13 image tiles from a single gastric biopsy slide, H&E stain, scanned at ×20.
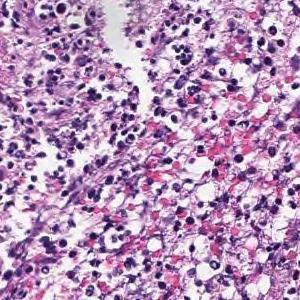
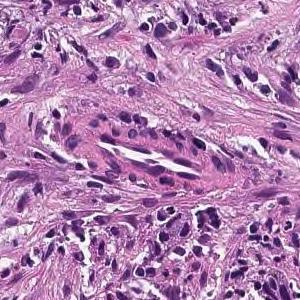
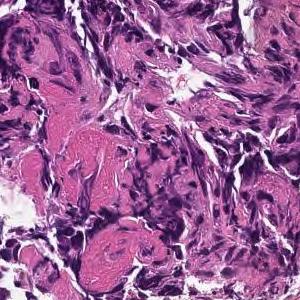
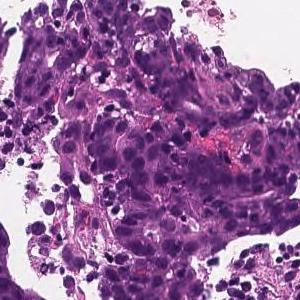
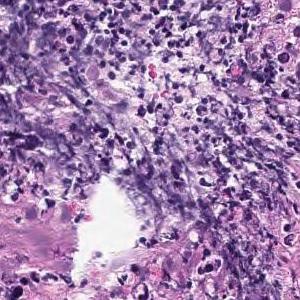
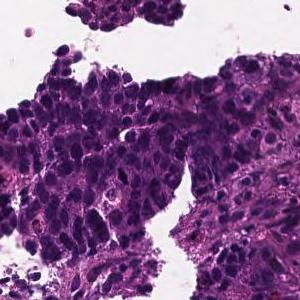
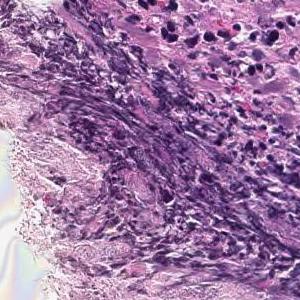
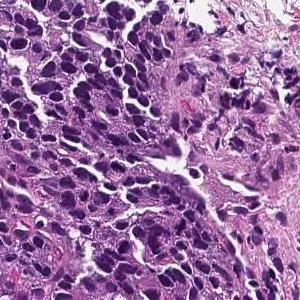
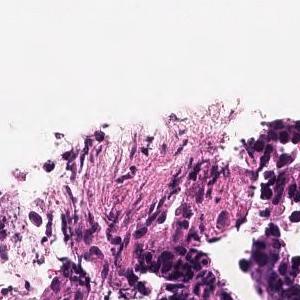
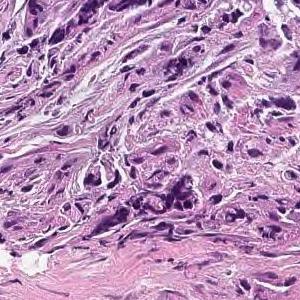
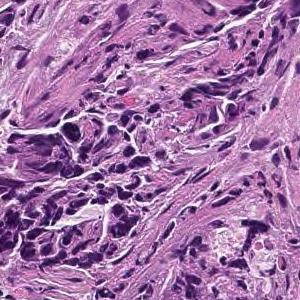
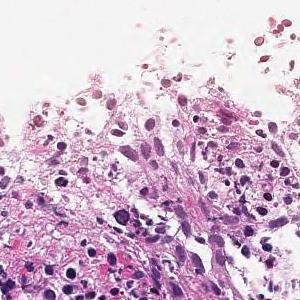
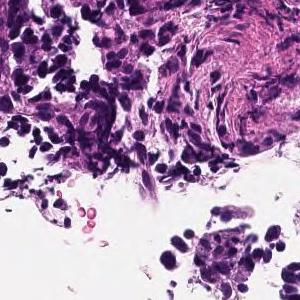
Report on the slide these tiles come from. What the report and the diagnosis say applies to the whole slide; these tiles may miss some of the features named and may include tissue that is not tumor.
In the superficial epithelium, tumor tissue that invades by forming medium-sized to small, irregular ducts is observed. moderately differentiated tubular adenocarcinoma.
